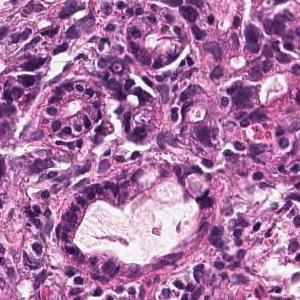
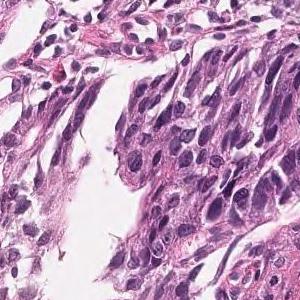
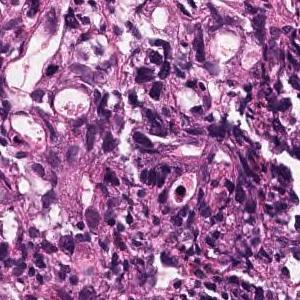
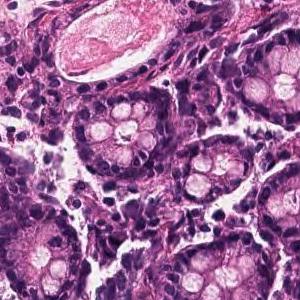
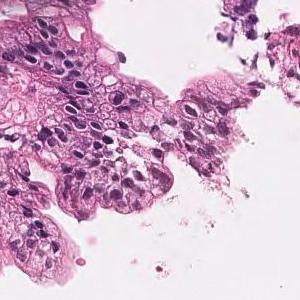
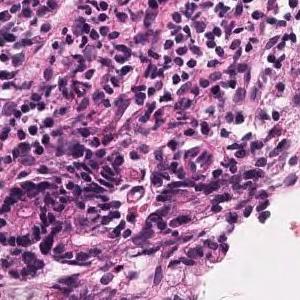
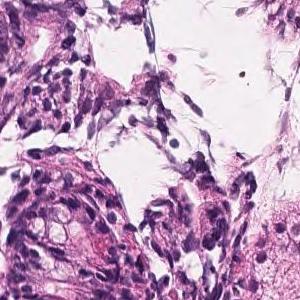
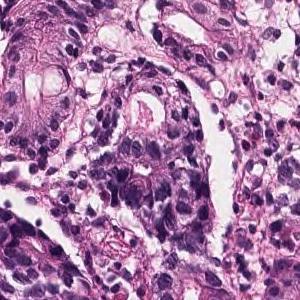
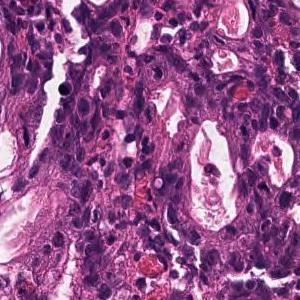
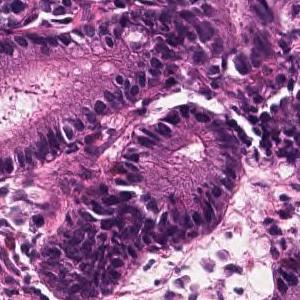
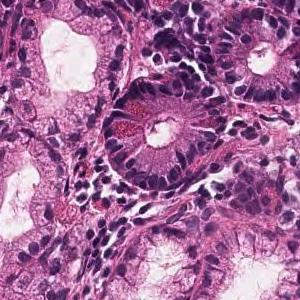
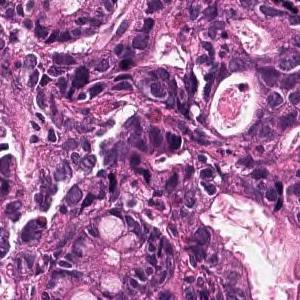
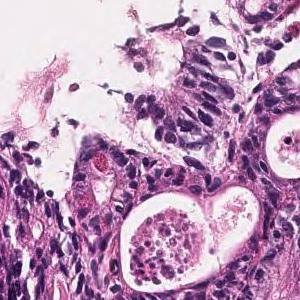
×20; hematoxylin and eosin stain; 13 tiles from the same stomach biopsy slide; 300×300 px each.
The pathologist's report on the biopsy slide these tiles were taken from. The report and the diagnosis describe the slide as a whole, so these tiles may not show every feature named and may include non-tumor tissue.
On the superficial epithelium, tumor tissue consisting of large, irregular glandular ducts partially fused and infiltrated is observed. Well to moderately differentiated tubular adenocarcinoma (well differentiated tubular adenocarcinoma, moderately differentiated tubular adenocarcinoma)
Histologic type: Well to moderately differentiated tubular adenocarcinoma.
